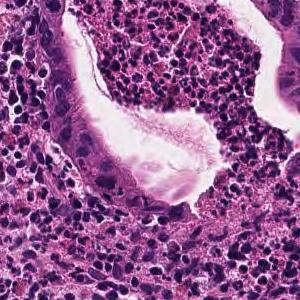
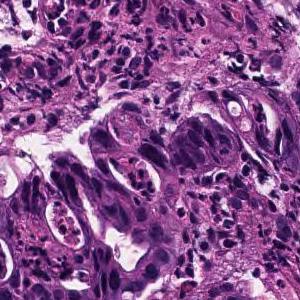
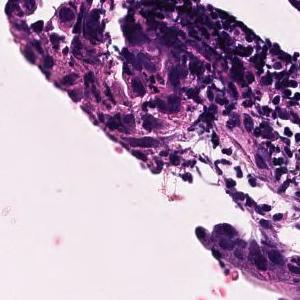
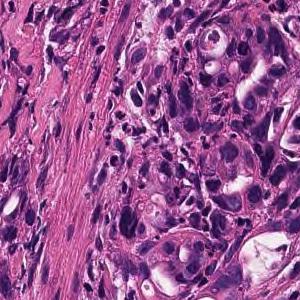
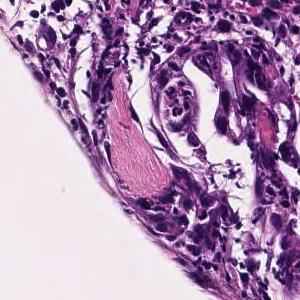
5 patches cut from one gastric biopsy slide; ×20; H&E stain.
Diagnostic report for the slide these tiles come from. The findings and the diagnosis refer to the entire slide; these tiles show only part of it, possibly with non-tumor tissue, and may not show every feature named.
In the superficial epithelium, medium-sized to small irregular glandular ducts are formed, and in some cases, the glandular ducts are fused or small cord-like infiltrating tumor tissue is observed. moderately differentiated tubular adenocarcinoma
